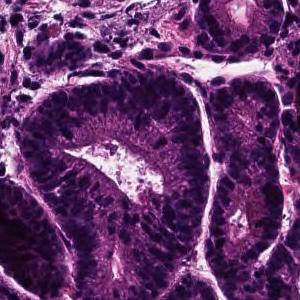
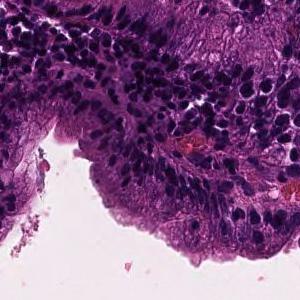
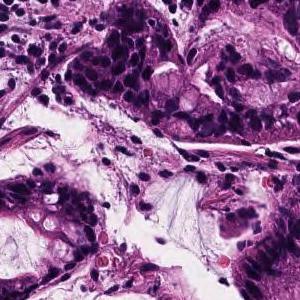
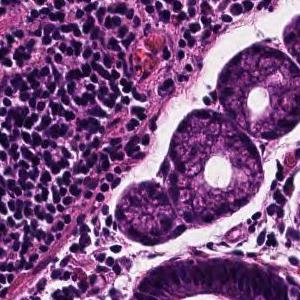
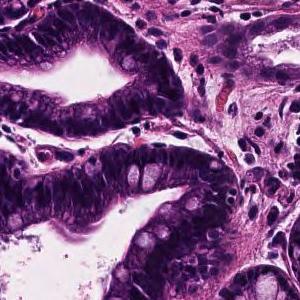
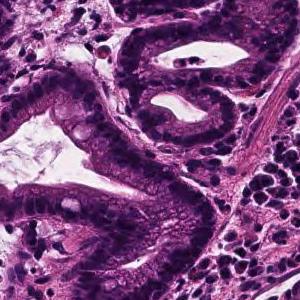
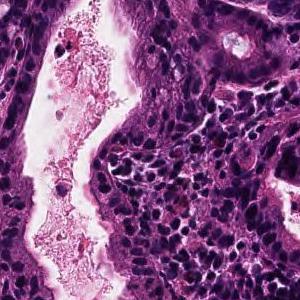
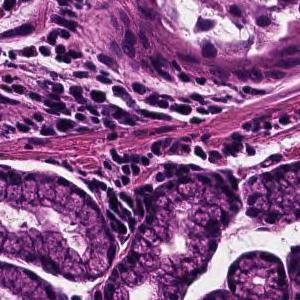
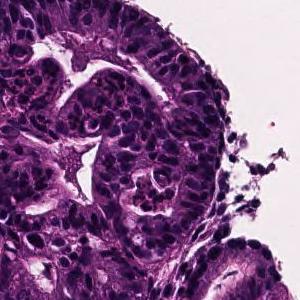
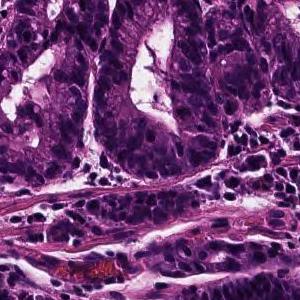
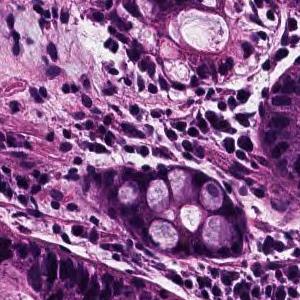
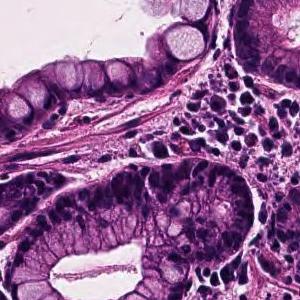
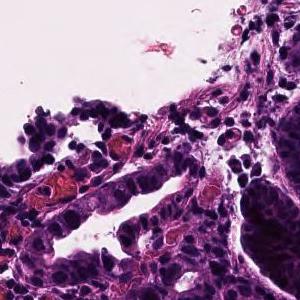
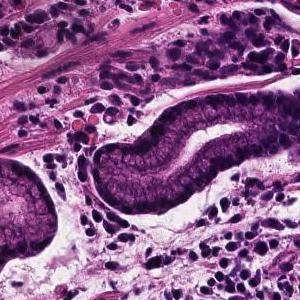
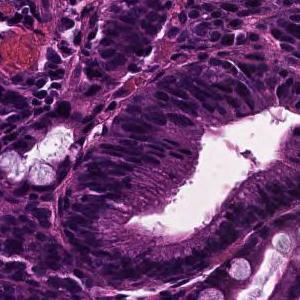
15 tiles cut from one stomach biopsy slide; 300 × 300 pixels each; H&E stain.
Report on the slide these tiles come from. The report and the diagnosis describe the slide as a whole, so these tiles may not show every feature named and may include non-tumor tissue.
In the superficial epithelium, tumor tissue infiltrated by partial fusion of medium-sized to small, irregular glandular ducts is observed. moderately differentiated tubular adenocarcinoma
